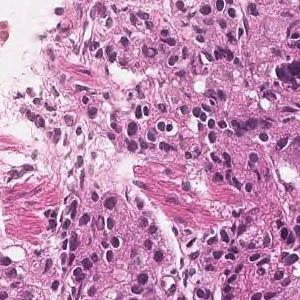
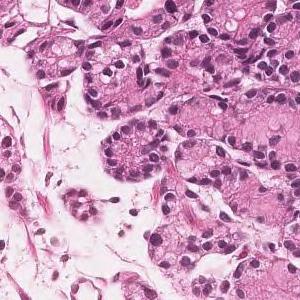
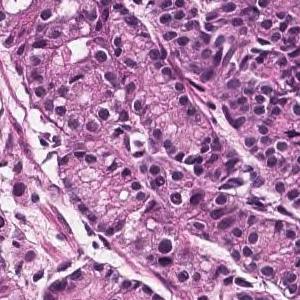
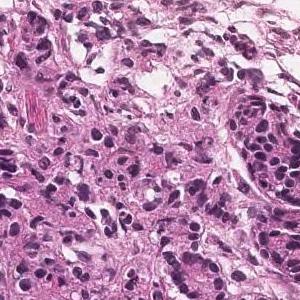
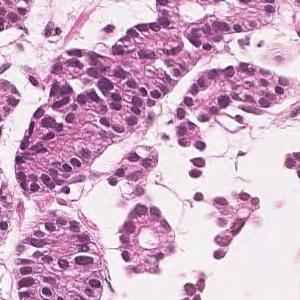
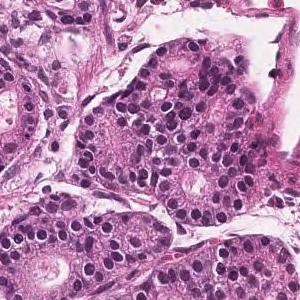
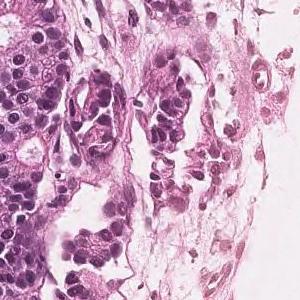
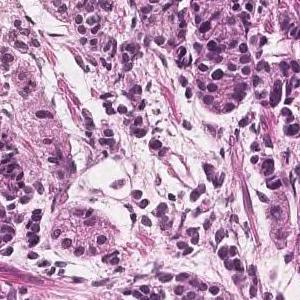
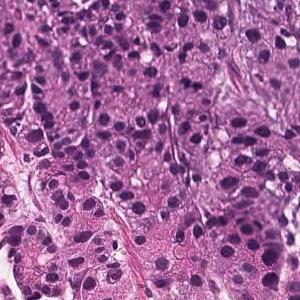
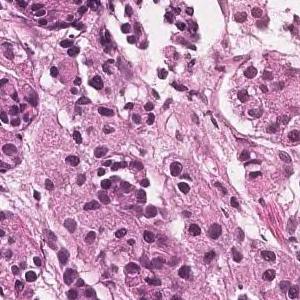
10 image tiles from a single gastric biopsy slide · scanned at ×20 · H&E.
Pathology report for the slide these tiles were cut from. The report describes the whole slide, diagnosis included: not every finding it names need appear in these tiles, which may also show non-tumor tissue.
In the superficial epithelium, tumor tissue that invades by forming medium-sized to small, irregular ducts is observed. Moderately differentiated adenocarcinoma.
Tumor subtype: moderately differentiated tubular adenocarcinoma.
